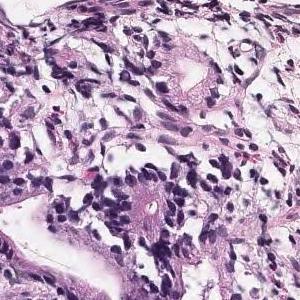
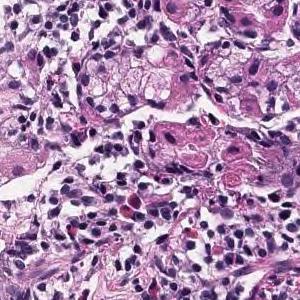
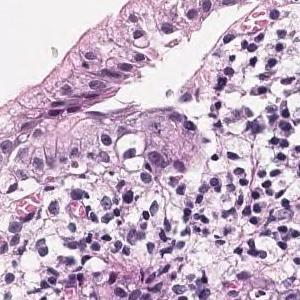
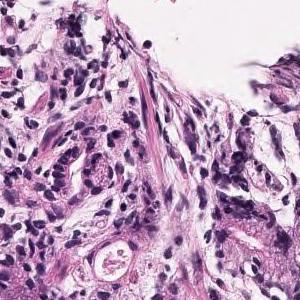
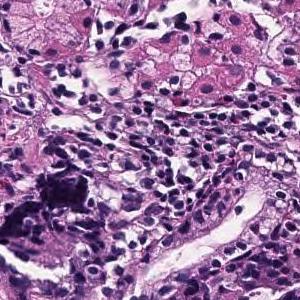
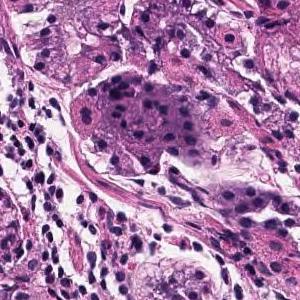
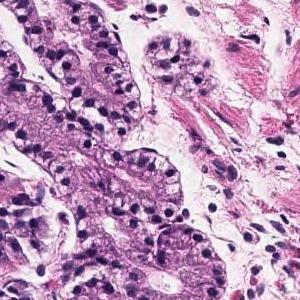
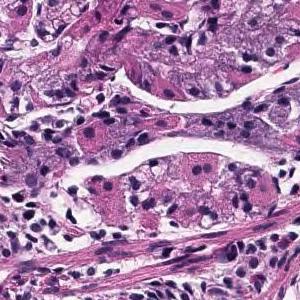
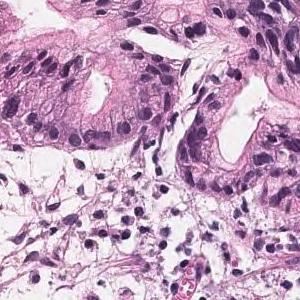
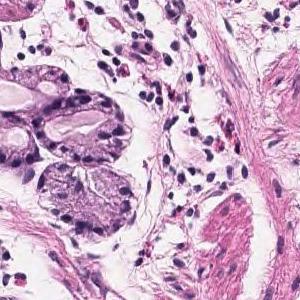
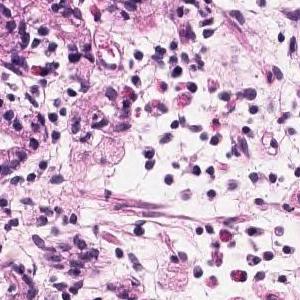
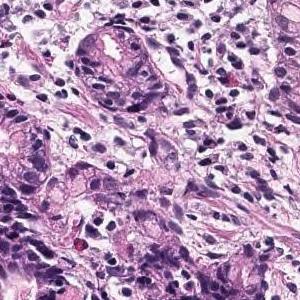
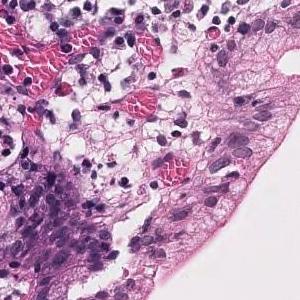
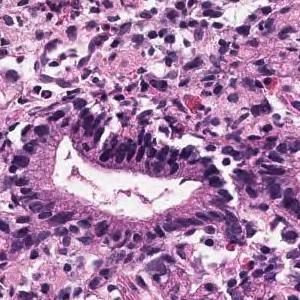
Scanned at ×20 · hematoxylin and eosin stain · 14 patches cut from one gastric biopsy slide.
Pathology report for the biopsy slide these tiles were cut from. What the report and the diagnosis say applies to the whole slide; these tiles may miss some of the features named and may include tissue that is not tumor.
Tumor tissue that grows and grows is observed, showing a medium-sized round or irregular duct. moderately differentiated tubular adenocarcinoma
